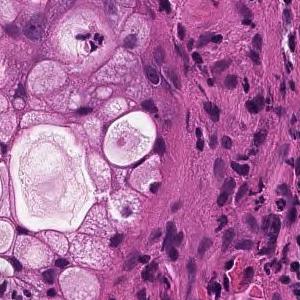
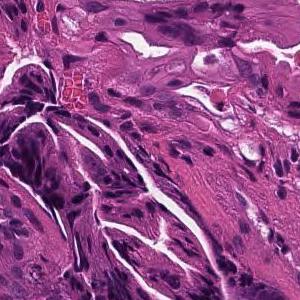
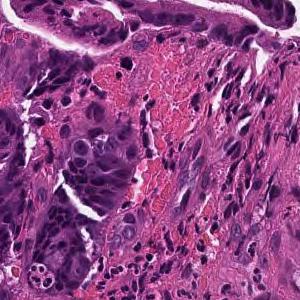
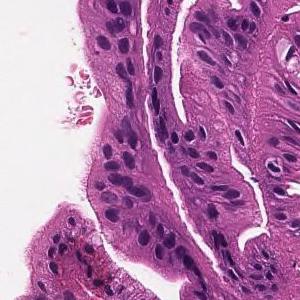
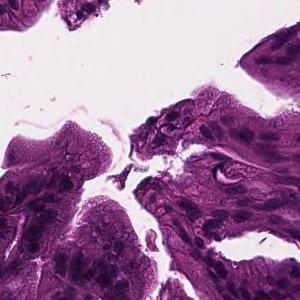
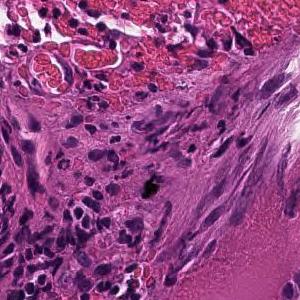
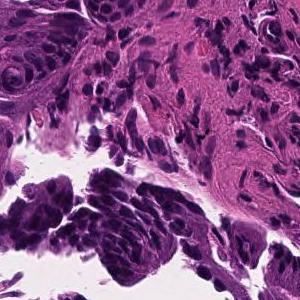
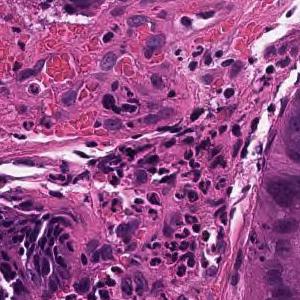
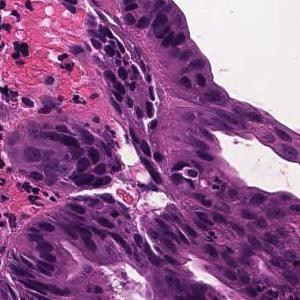
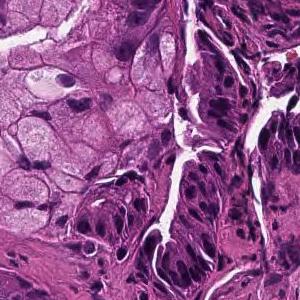
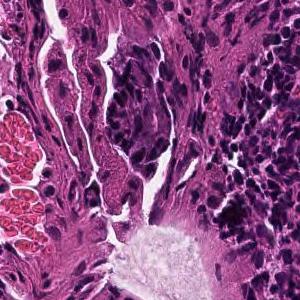
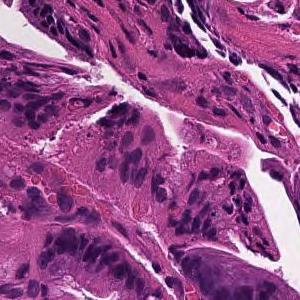
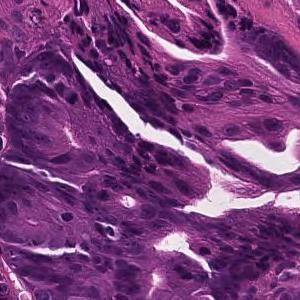
×20; H&E stain; 13 tiles from the same stomach biopsy slide; 300 × 300 pixels each.
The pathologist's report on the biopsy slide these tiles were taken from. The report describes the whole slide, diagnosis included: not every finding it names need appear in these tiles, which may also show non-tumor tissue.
Tumor cells are large, highly columnar, large club-shaped nuclei, and are associated with chromatin aggregation. Papillary adenocarcinoma.
